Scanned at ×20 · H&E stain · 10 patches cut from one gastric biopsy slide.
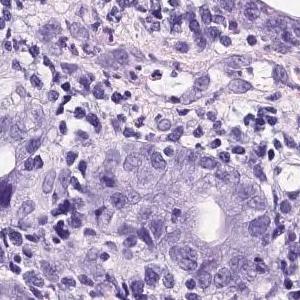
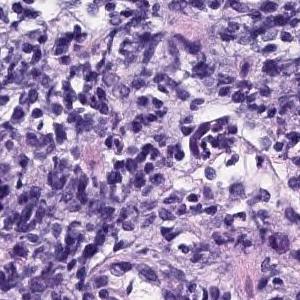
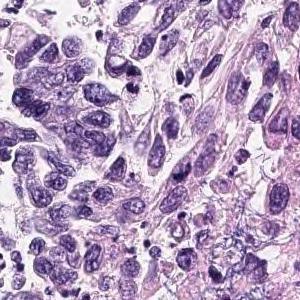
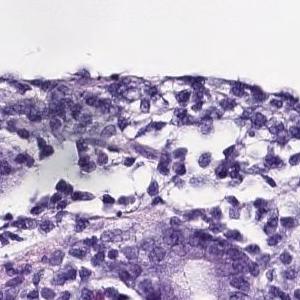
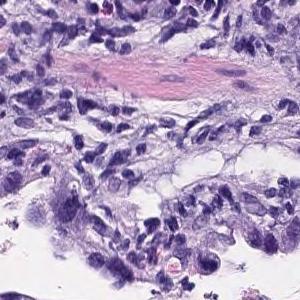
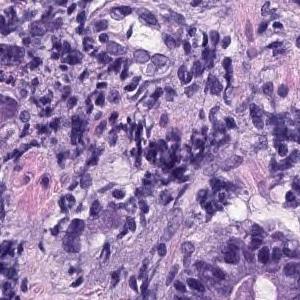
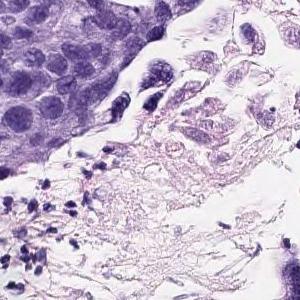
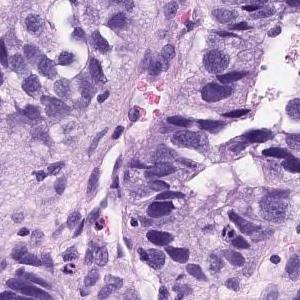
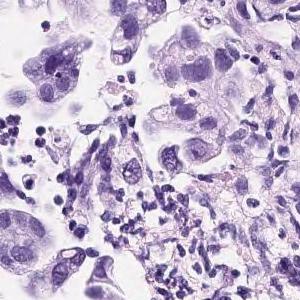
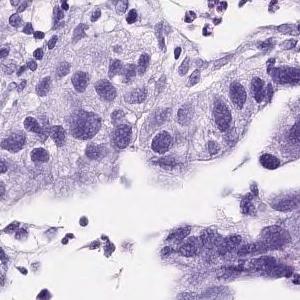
Diagnostic report for the slide these tiles come from. What the report and the diagnosis say applies to the whole slide; these tiles may miss some of the features named and may include tissue that is not tumor.
On the superficial epithelium, tumor tissue consisting of medium to small irregular tubules partially fused and proliferated is observed. moderately differentiated tubular adenocarcinoma
